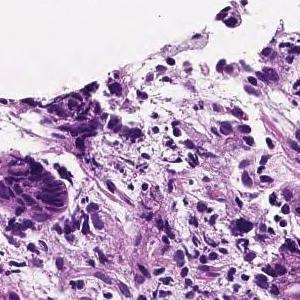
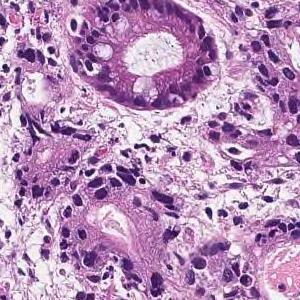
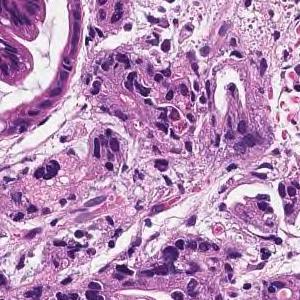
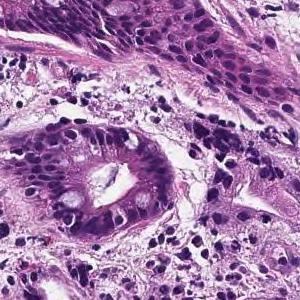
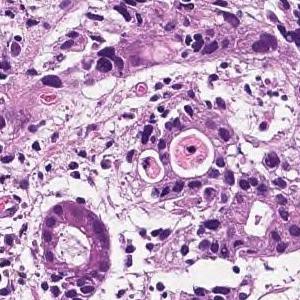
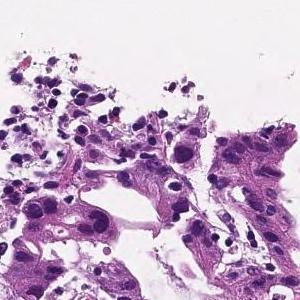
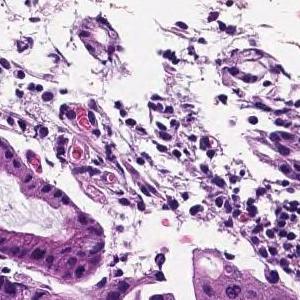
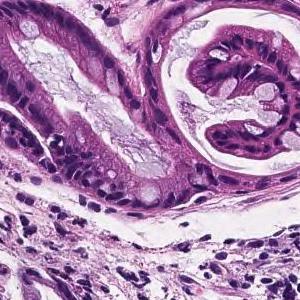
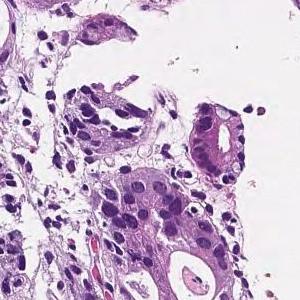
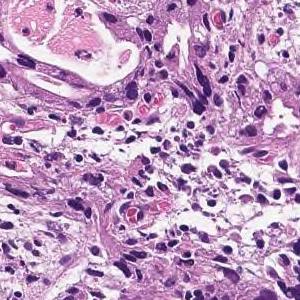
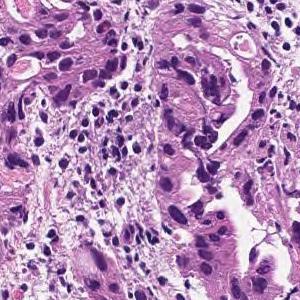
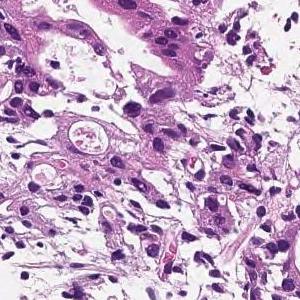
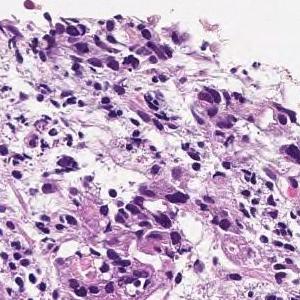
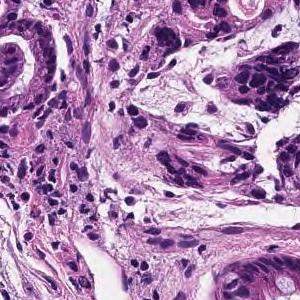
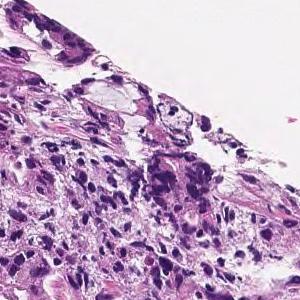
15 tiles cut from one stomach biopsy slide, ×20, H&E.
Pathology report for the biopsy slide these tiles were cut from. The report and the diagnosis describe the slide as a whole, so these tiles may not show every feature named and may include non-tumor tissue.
In the superficial epithelium, tumor tissue that invades by forming medium-sized to small, irregular ducts is observed. moderately differentiated tubular adenocarcinoma.
